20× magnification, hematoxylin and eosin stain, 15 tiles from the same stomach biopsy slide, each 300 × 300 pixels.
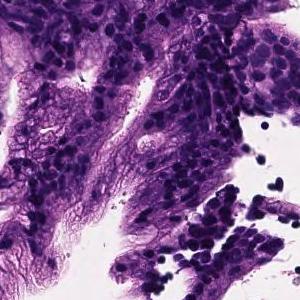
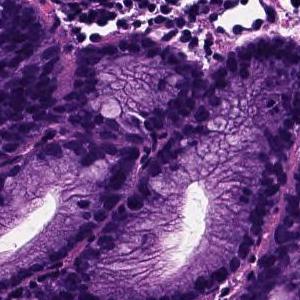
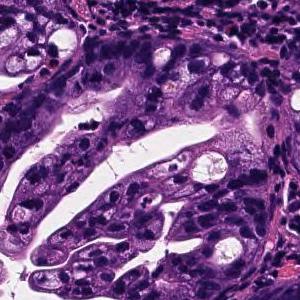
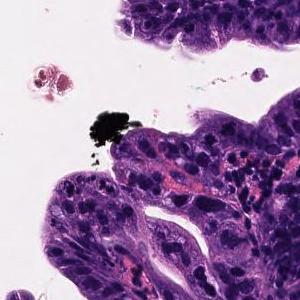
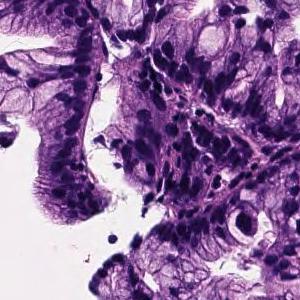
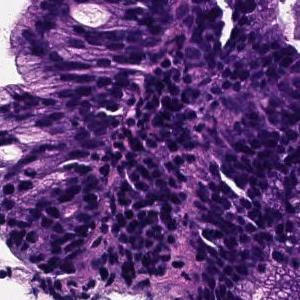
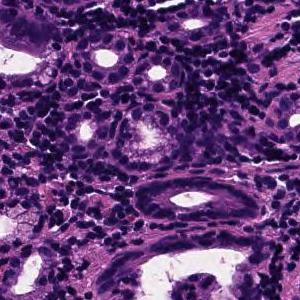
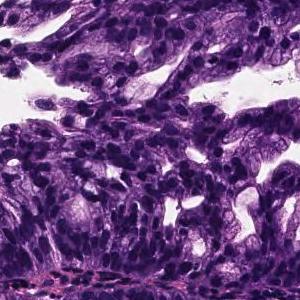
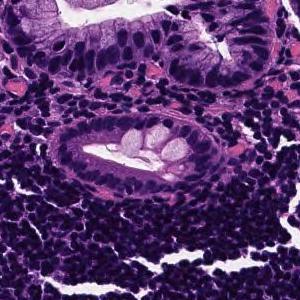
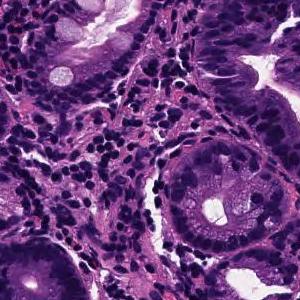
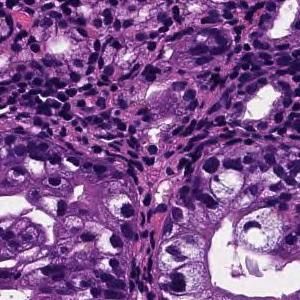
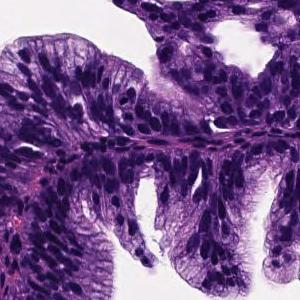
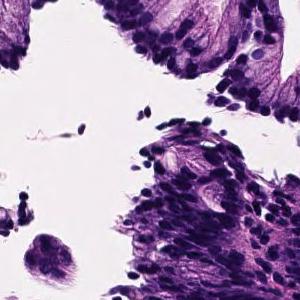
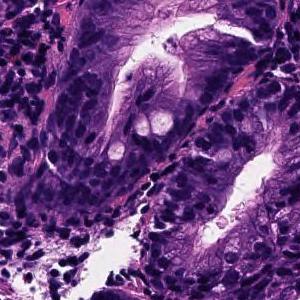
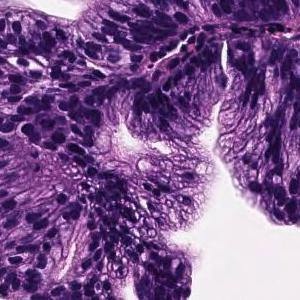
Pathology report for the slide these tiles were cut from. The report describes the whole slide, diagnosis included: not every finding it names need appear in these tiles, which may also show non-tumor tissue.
On the superficial epithelium, tumor tissue that infiltrates by forming medium-sized papillary or small irregular ducts is observed. Papillary adenocarcinoma
